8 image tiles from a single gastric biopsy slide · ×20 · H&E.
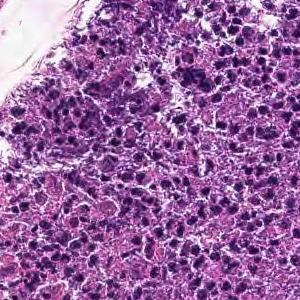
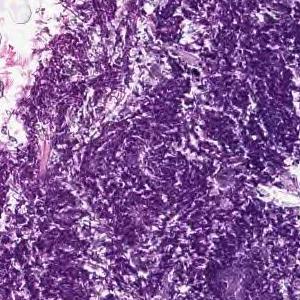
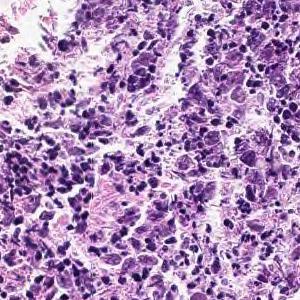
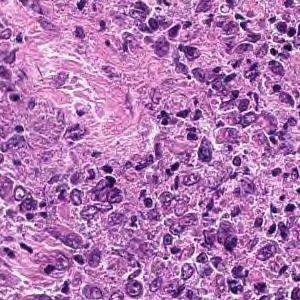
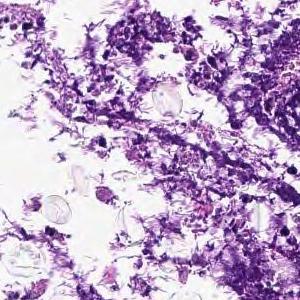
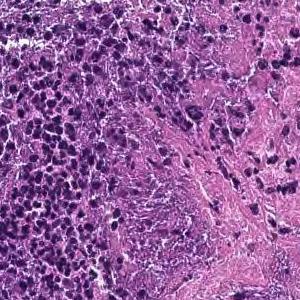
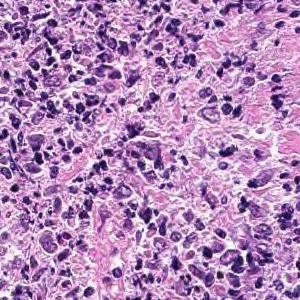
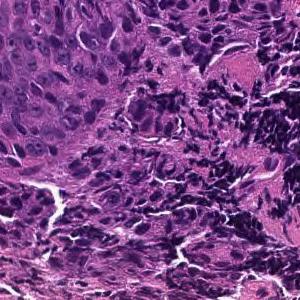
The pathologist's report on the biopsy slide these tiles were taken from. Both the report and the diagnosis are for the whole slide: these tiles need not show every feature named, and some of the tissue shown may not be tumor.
Cancers with polygonal nuclei do not show glandular formation and are densely, in part, cord-like and proliferate. Poorly differentiated adenocarcinoma
Histologic type: Poorly differentiated adenocarcinoma, non-solid type.
The term "non-solid type" comes from the Japanese Classification of Gastric Carcinoma.
